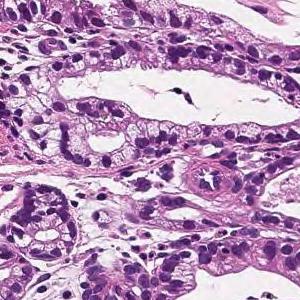
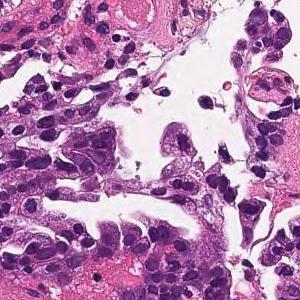
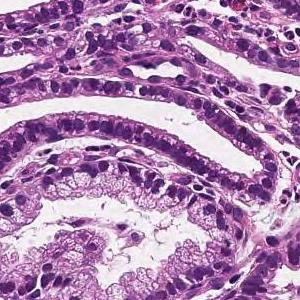
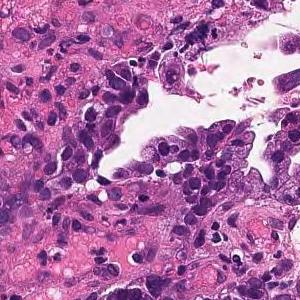
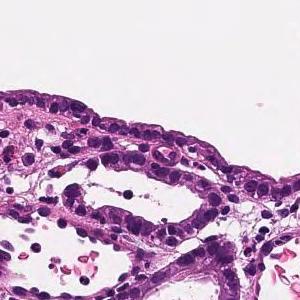
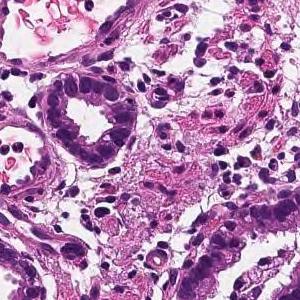
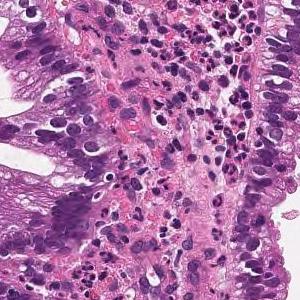
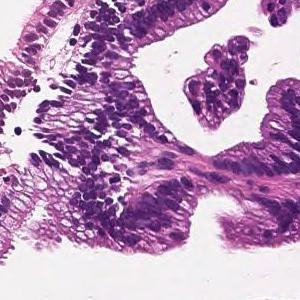
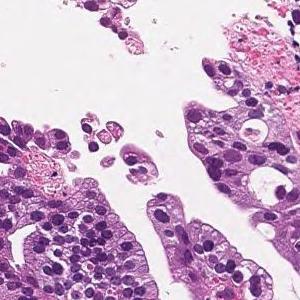
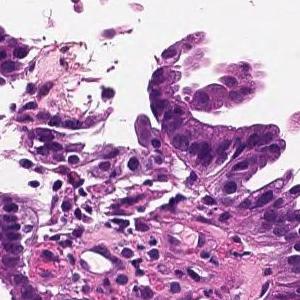
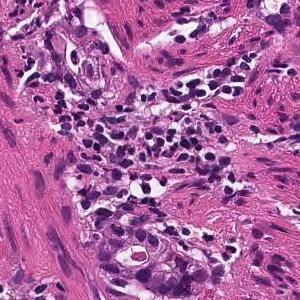
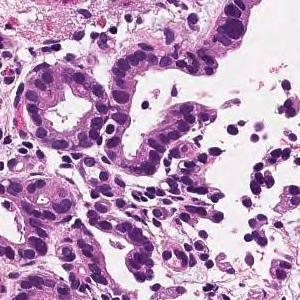
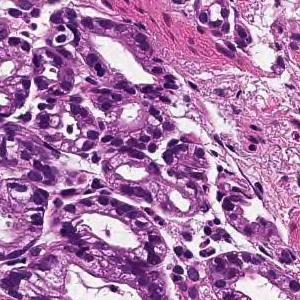
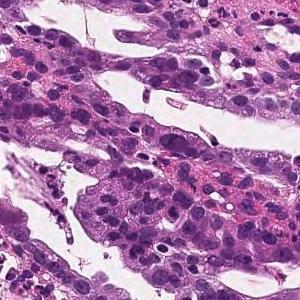
14 tiles cut from one stomach biopsy slide, H&E, scanned at ×20.
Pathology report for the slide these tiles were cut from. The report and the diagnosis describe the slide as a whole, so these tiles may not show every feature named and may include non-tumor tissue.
On the superficial epithelium, tumor tissue that infiltrates by forming medium-sized papillary or small irregular ducts is observed. Papillary adenocarcinoma
